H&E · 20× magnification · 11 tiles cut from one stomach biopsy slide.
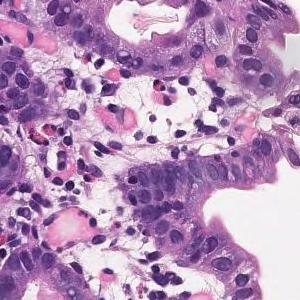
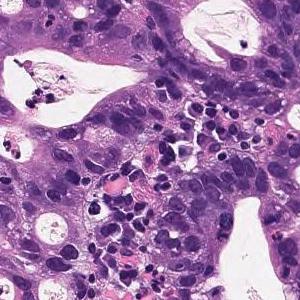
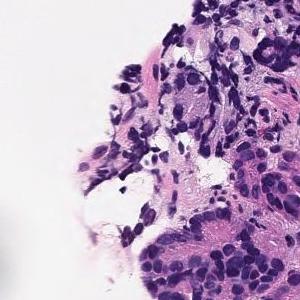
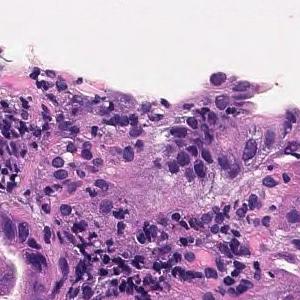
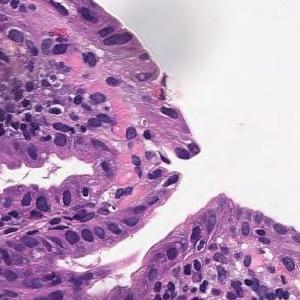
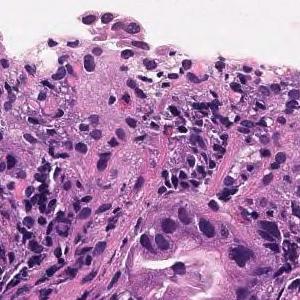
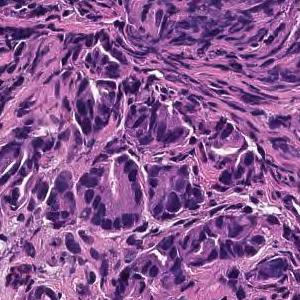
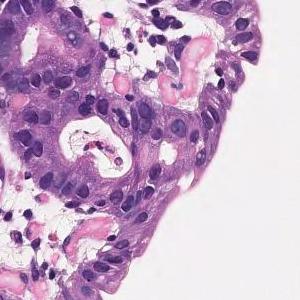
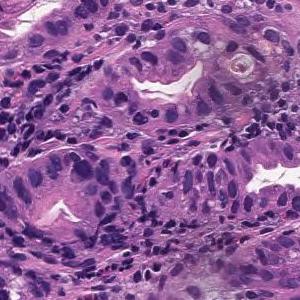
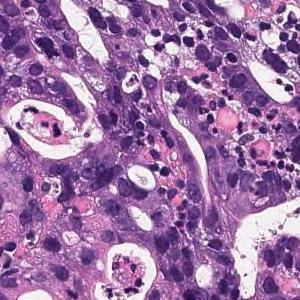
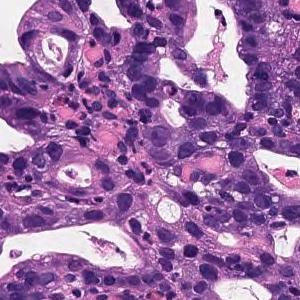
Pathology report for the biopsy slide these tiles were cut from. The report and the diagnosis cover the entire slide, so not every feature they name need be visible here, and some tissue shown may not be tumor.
On the superficial epithelium, tumor tissue consisting of large, irregular glandular ducts partially fused and infiltrated is observed. Well to moderately differentiated tubular adenocarcinoma (well differentiated tubular adenocarcinoma, moderately differentiated tubular adenocarcinoma)
Histologic type: Well to moderately differentiated tubular adenocarcinoma.
